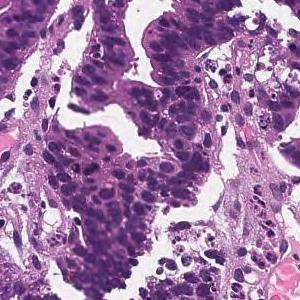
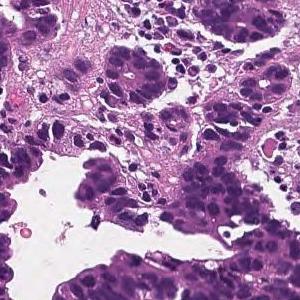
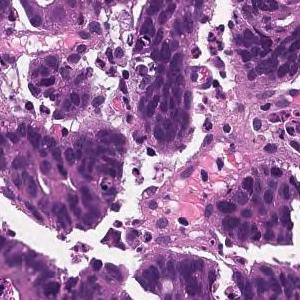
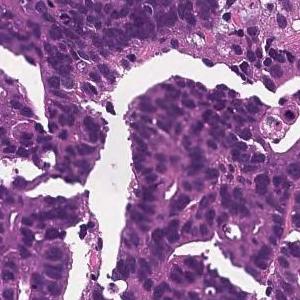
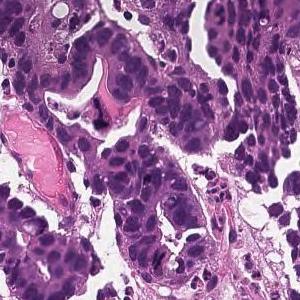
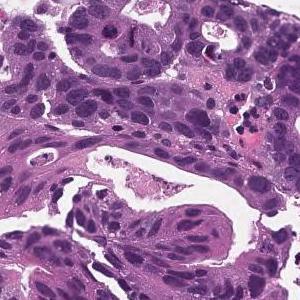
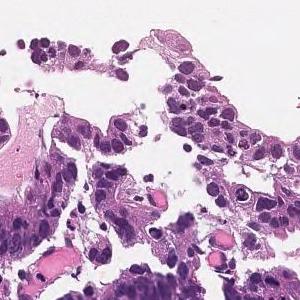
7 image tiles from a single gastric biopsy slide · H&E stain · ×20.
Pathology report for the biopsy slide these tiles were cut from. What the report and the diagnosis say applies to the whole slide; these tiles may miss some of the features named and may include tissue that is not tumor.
In the superficial epithelium, tumor tissue that invades by forming medium-sized to small, irregular ducts is observed. moderately differentiated tubular adenocarcinoma.
